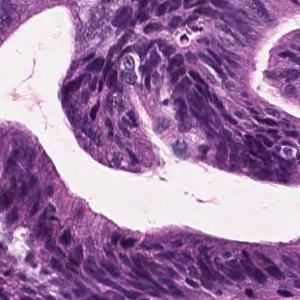
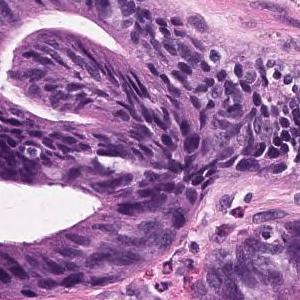
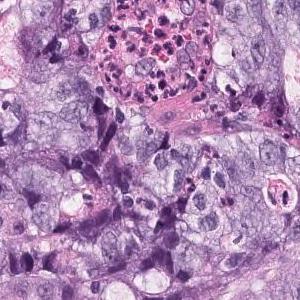
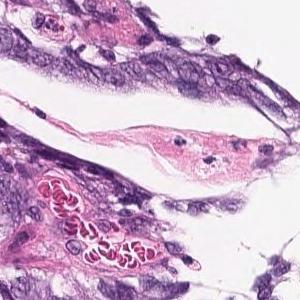
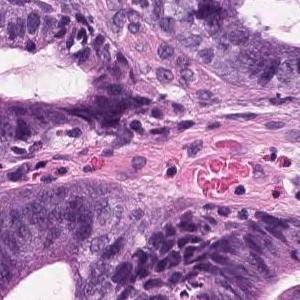
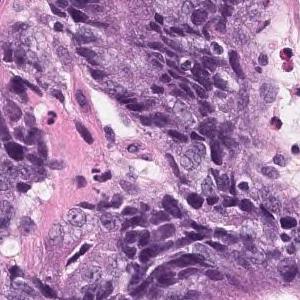
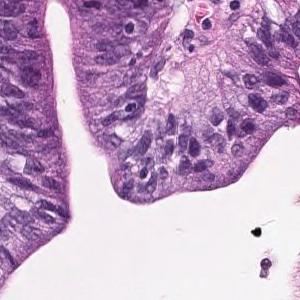
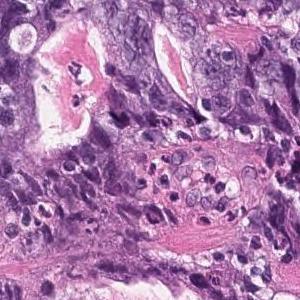
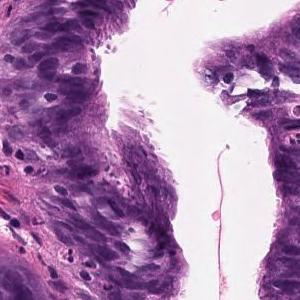
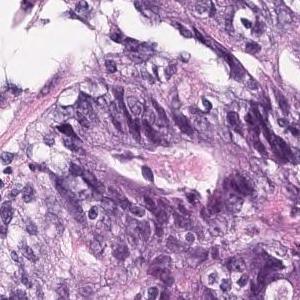
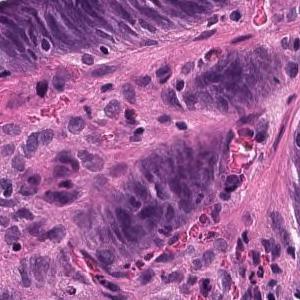
11 patches cut from one gastric biopsy slide.
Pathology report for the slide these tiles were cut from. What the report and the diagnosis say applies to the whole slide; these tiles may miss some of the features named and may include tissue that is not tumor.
Large atypical epithelial cells with swollen atypical nuclei are seen proliferating into a tubular fusion gland. moderately differentiated tubular adenocarcinoma
